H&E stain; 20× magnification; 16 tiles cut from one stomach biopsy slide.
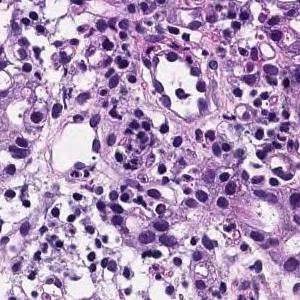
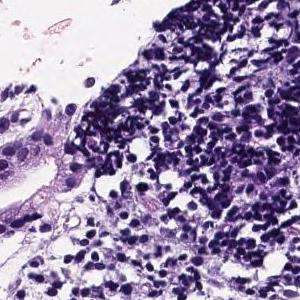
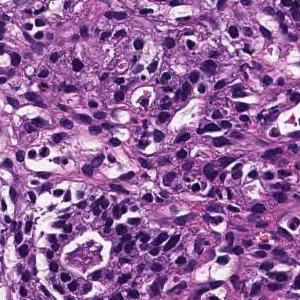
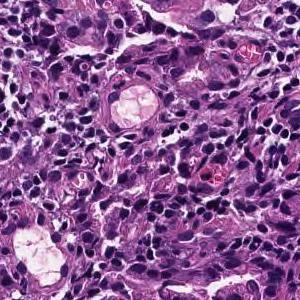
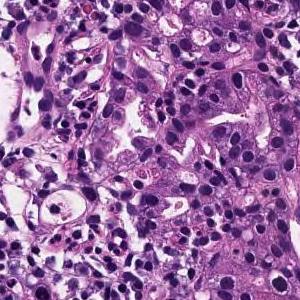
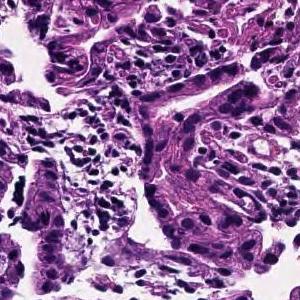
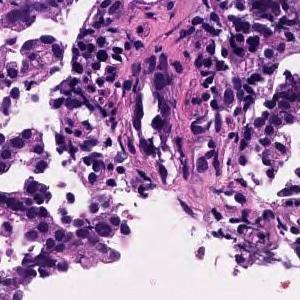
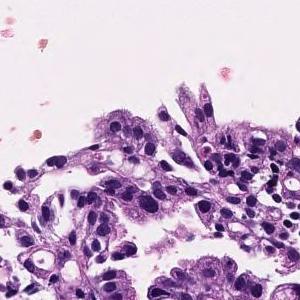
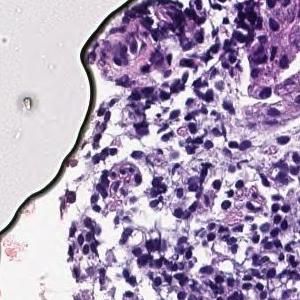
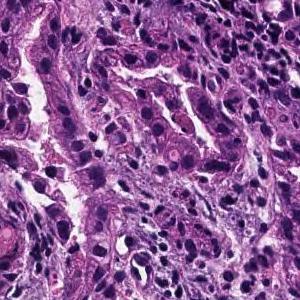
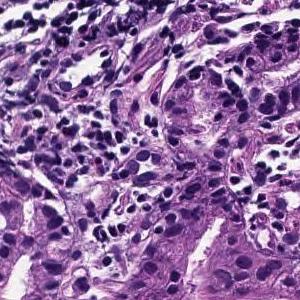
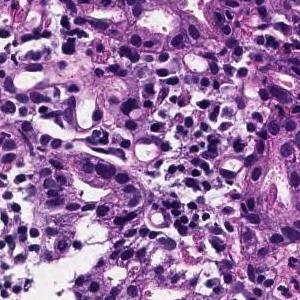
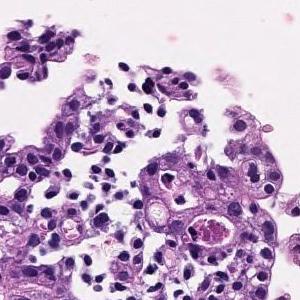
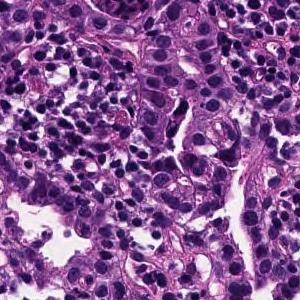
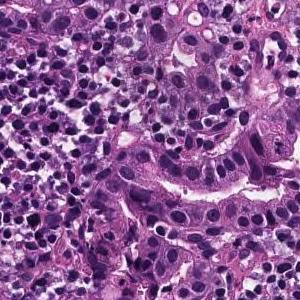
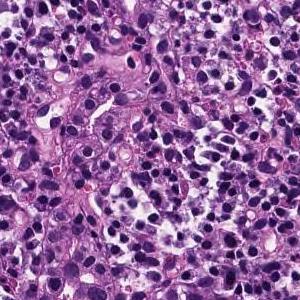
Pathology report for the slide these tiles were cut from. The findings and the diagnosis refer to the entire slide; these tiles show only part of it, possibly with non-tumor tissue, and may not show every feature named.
Medium to small, irregular glandular ducts are formed in the superficial epithelium, and in some cases, the glandular ducts are fused to show solid alveolar lesions and infiltrating tumor tissue is observed. Moderately to poorly differentiated adenocarcinoma.
